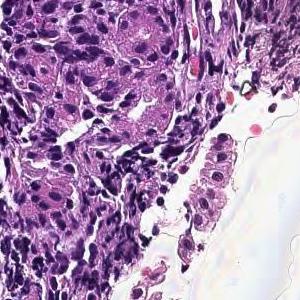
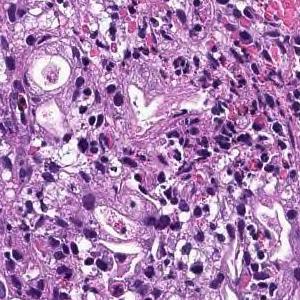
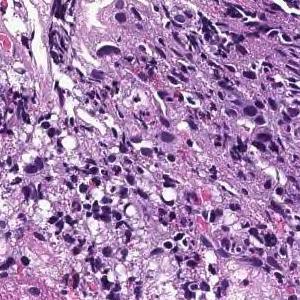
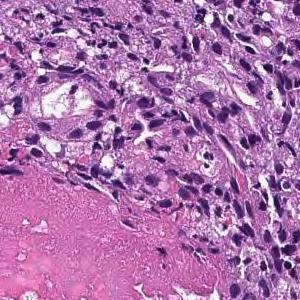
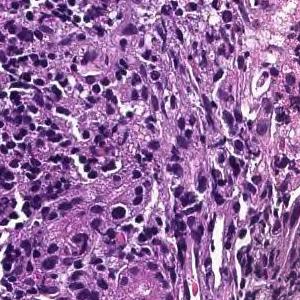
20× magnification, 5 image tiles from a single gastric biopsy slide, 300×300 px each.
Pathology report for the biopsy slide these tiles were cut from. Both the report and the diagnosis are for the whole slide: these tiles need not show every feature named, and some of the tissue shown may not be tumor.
Tumor tissue consisting of cord-like or small, irregular glandular ducts fused and infiltrated is observed in the superficial epithelium. Poorly differentiated adenocarcinoma, non-solid type
"Non-solid type" is a category of the Japanese Classification of Gastric Carcinoma.
